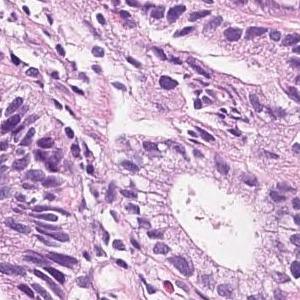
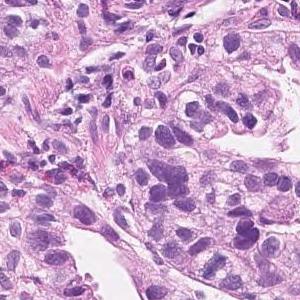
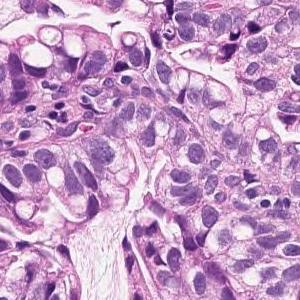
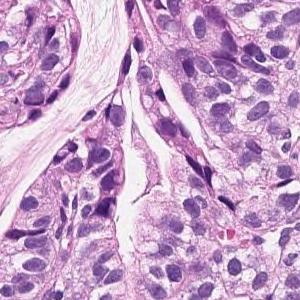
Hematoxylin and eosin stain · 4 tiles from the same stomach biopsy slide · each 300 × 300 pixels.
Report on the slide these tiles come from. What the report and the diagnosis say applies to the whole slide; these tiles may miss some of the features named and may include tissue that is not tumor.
On the superficial epithelium, there is a tumor tissue consisting of medium to small, irregular tubules that are partially fused and proliferated. Well to moderately differentiated tubular adenocarcinoma
